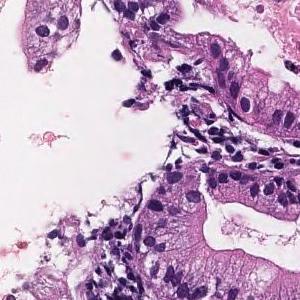
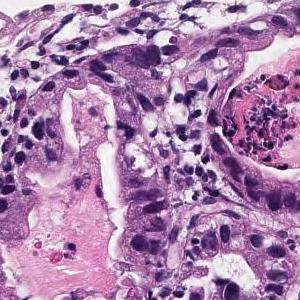
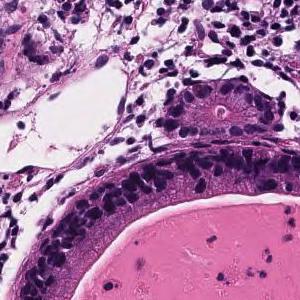
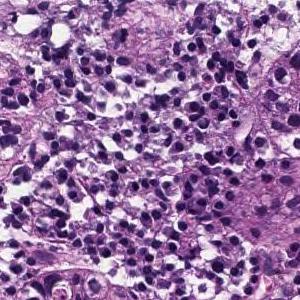
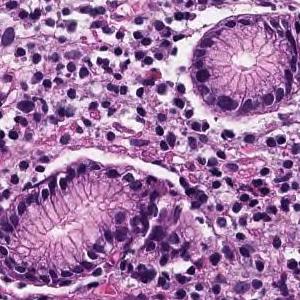
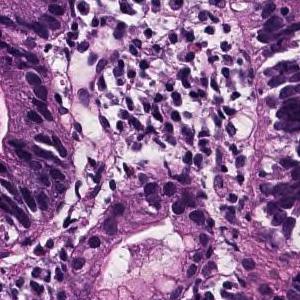
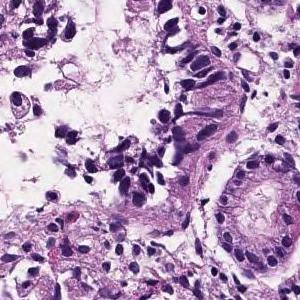
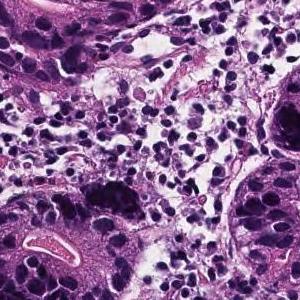
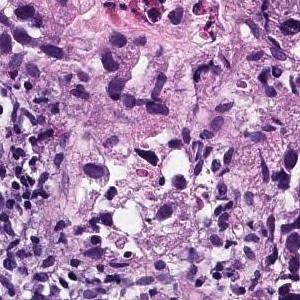
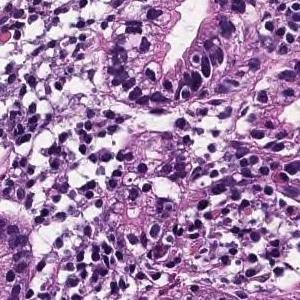
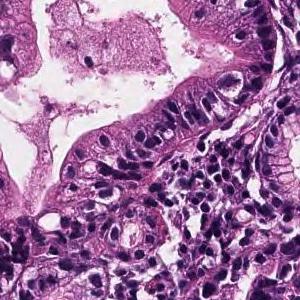
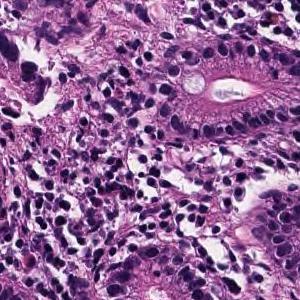
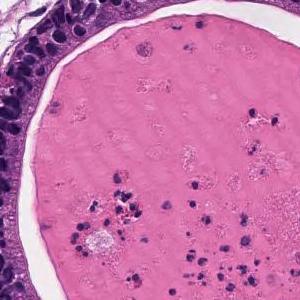
13 tiles from the same stomach biopsy slide; 20× magnification; H&E.
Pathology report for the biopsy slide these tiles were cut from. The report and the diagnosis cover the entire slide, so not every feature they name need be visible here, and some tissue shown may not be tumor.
From the superficial epithelium to the muscularis mucosae, tumor tissue consisting of medium-sized and irregular glandular ducts infiltrating is observed. Well differentiated tubular adenocarcinoma
